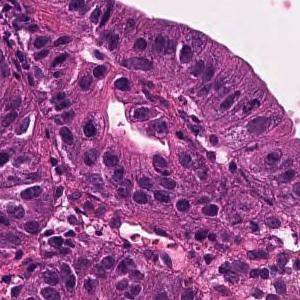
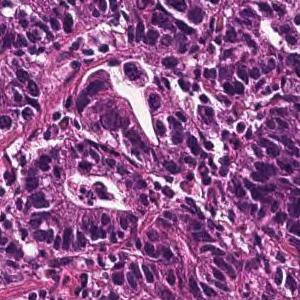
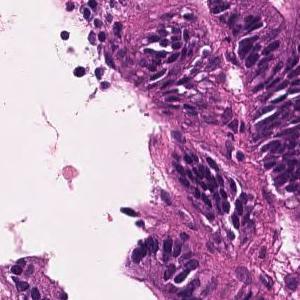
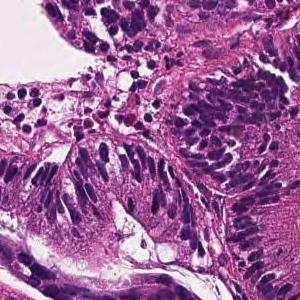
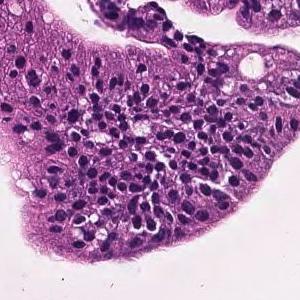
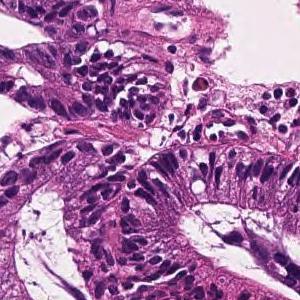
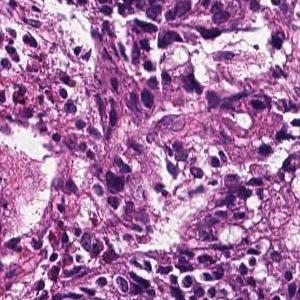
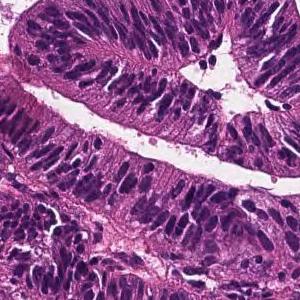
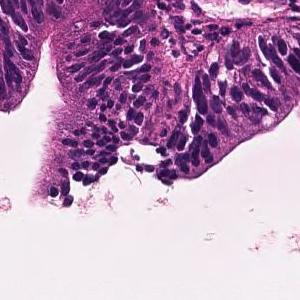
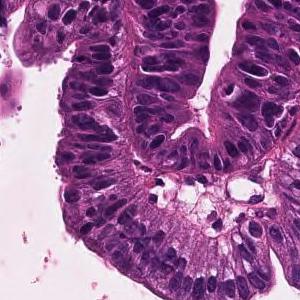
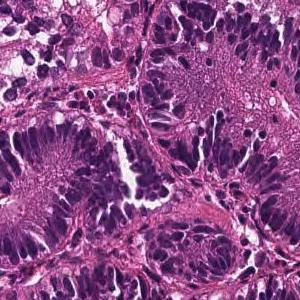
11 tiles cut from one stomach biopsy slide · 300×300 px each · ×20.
Diagnostic report for the slide these tiles come from. Both the report and the diagnosis are for the whole slide: these tiles need not show every feature named, and some of the tissue shown may not be tumor.
A large irregular tubular structure is exhibited in the epithelium, and tumor tissue that partially fuses and infiltrates and proliferates is observed. Large columnar tumor cells exhibit enlarged nucleus, hyperchromatism, and mitotic figures. Well differentiated tubular adenocarcinoma
